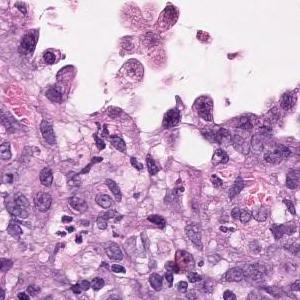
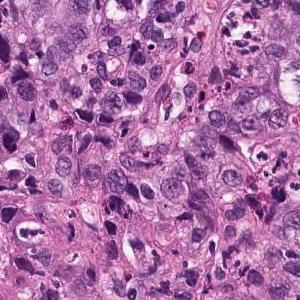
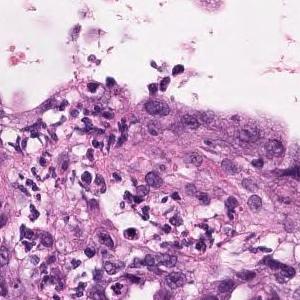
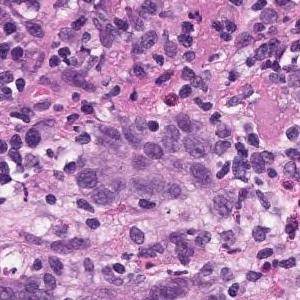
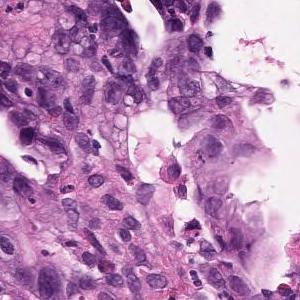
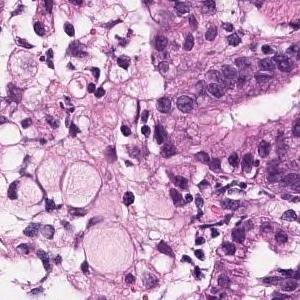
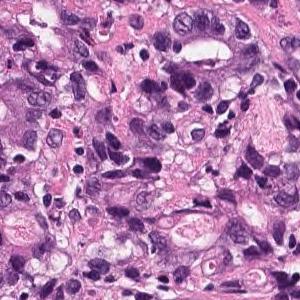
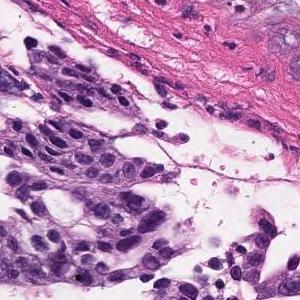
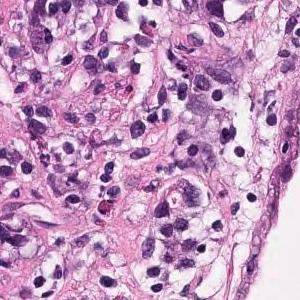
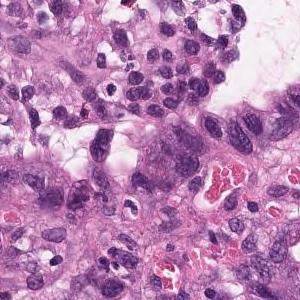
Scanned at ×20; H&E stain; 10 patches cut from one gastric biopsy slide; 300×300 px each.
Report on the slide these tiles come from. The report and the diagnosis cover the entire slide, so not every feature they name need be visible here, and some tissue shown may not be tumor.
Atypical ducts proliferating with obscure duct construction and solid sequences is observed. Moderately to poorly differentiated adenocarcinoma.
